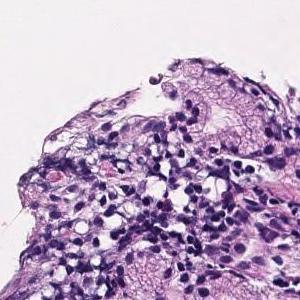
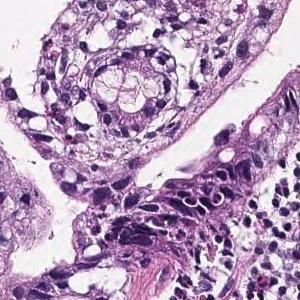
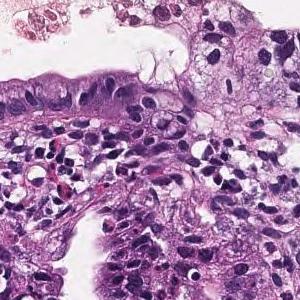
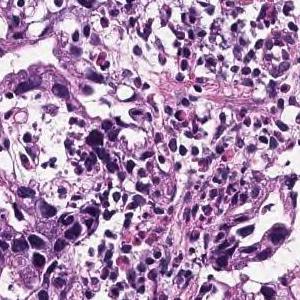
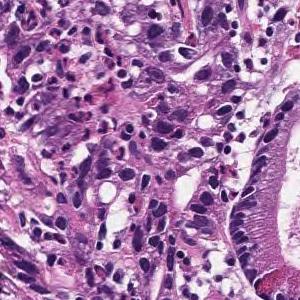
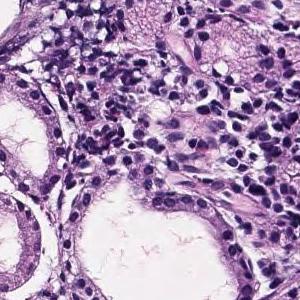
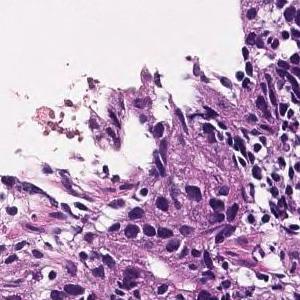
7 tiles cut from one stomach biopsy slide.
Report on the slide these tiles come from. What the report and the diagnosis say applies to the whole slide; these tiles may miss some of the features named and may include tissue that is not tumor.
In the superficial epithelium, tumor tissue that invades by forming medium-sized to small, irregular ducts is observed. moderately differentiated tubular adenocarcinoma.
